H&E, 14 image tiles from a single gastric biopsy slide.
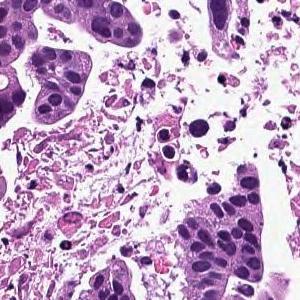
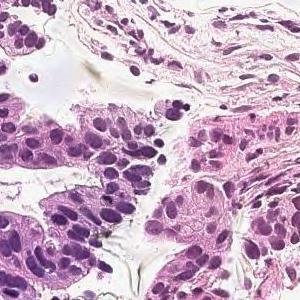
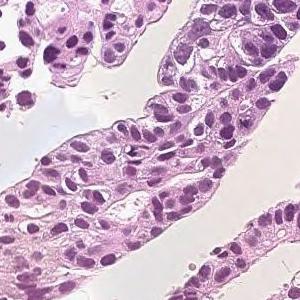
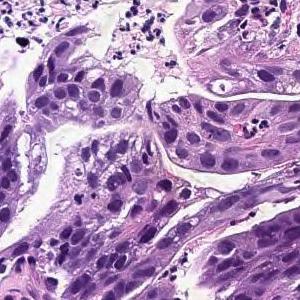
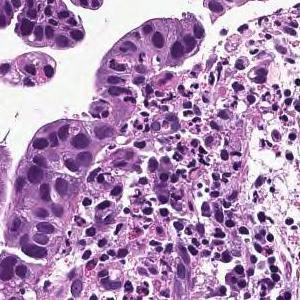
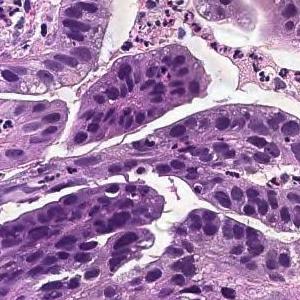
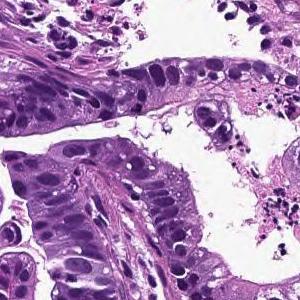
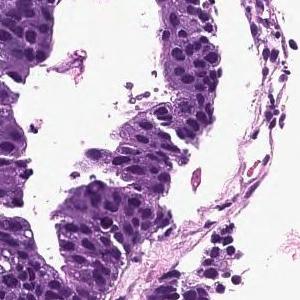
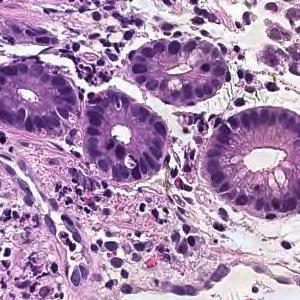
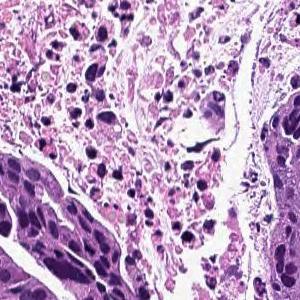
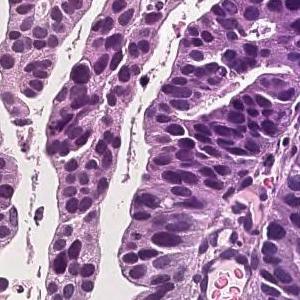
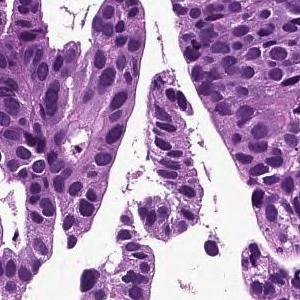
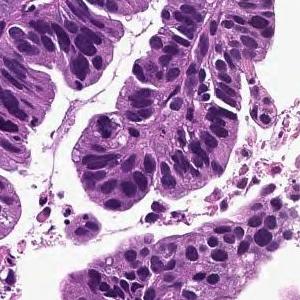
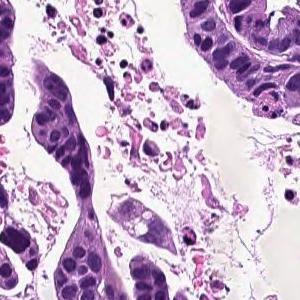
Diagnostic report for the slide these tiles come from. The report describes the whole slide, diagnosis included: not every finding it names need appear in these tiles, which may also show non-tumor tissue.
Tumor cells are large, highly columnar, large club-shaped nuclei, and are associated with chromatin aggregation. Papillary adenocarcinoma.
